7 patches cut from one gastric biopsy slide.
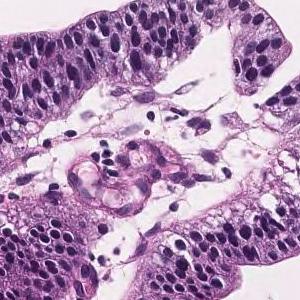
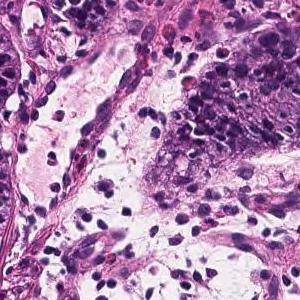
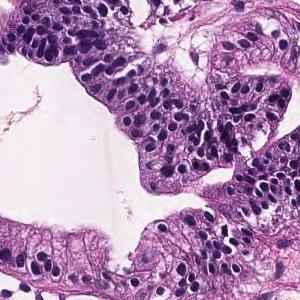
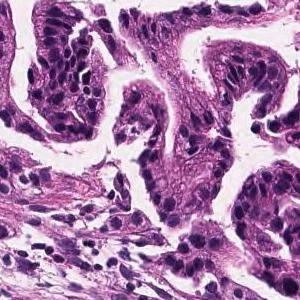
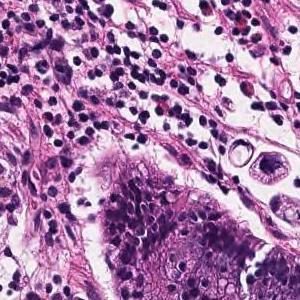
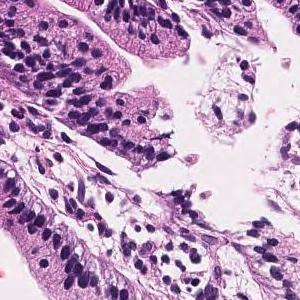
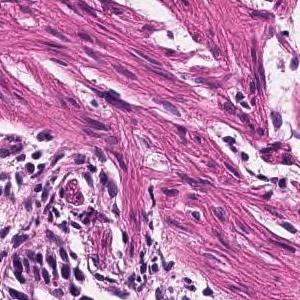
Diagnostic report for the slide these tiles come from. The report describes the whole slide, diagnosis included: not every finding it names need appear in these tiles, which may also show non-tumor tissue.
Tumor tissue consisting of large papillary structures or irregular glandular ducts partially fused and infiltrated is observed in the superficial epithelium. Well to moderately differentiated tubular adenocarcinoma.
Dataset label: moderately differentiated tubular adenocarcinoma.
